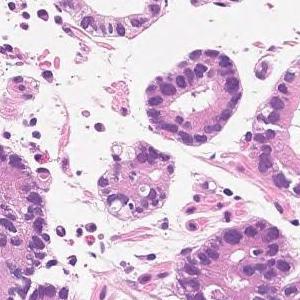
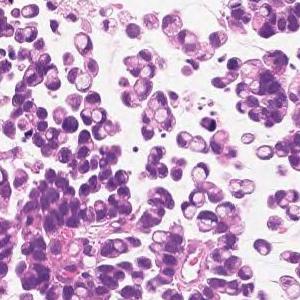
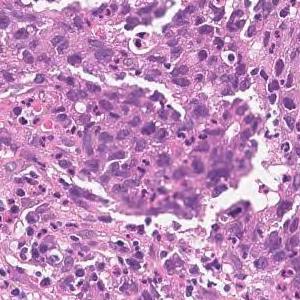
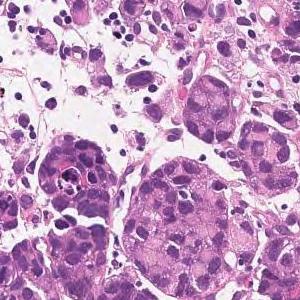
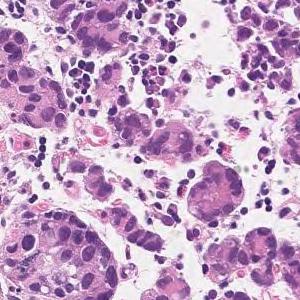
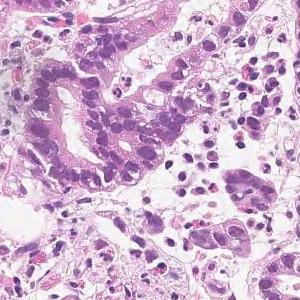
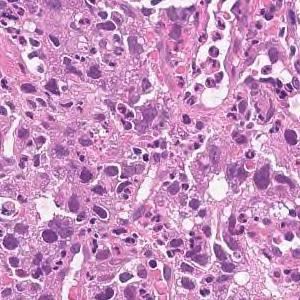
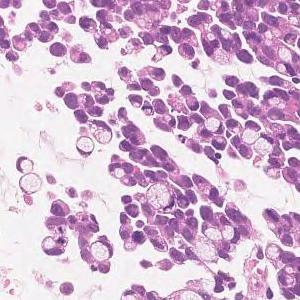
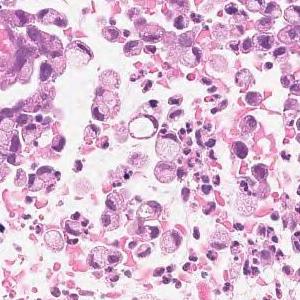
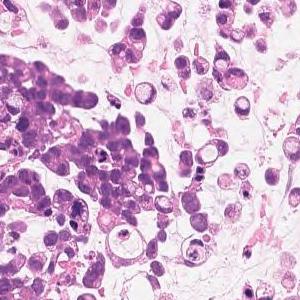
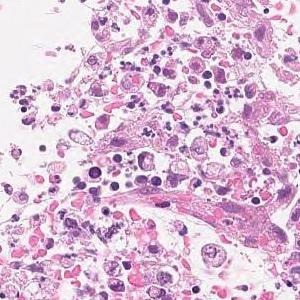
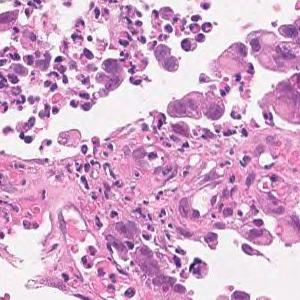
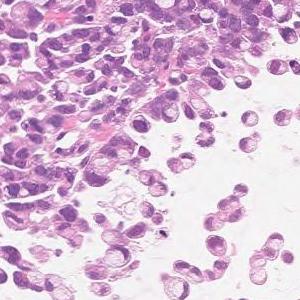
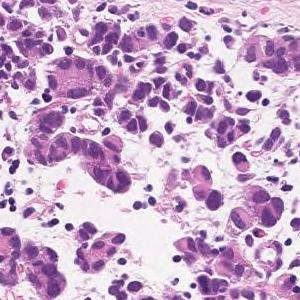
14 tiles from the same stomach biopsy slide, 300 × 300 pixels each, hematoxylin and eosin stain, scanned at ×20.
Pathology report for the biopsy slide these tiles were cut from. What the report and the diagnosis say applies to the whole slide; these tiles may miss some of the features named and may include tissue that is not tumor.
Medium to small, irregular glandular ducts are formed in the superficial epithelium, and in some cases, the glandular ducts are fused to show solid alveolar lesions and infiltrating tumor tissue is observed. Moderately to poorly differentiated adenocarcinoma.
